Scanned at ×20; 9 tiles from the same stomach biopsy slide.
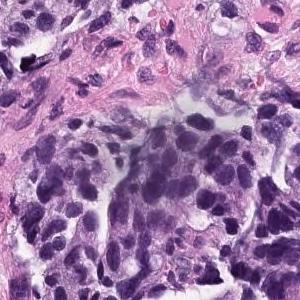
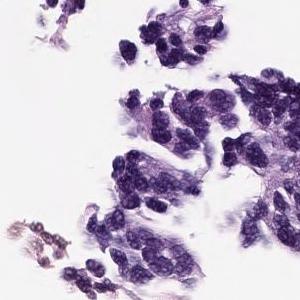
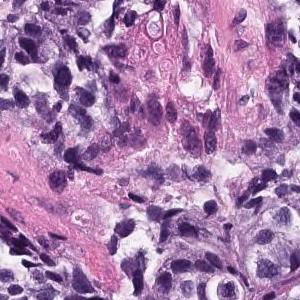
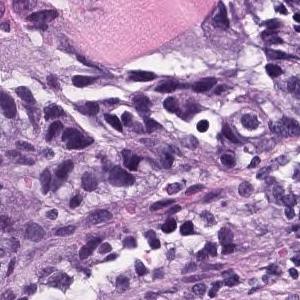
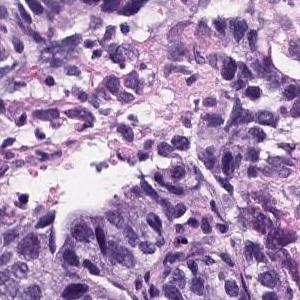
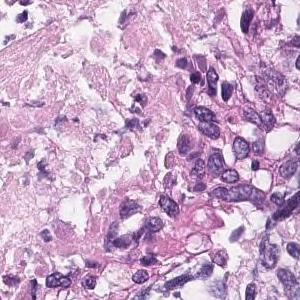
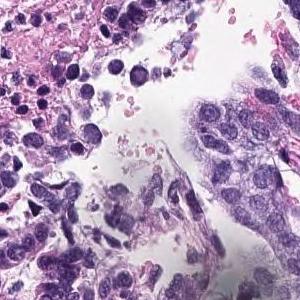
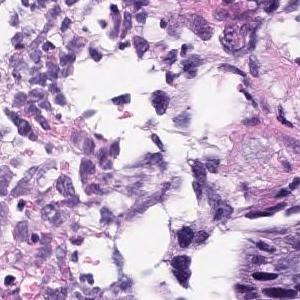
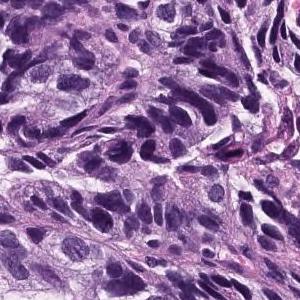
Pathology report for the slide these tiles were cut from. What the report and the diagnosis say applies to the whole slide; these tiles may miss some of the features named and may include tissue that is not tumor.
The superficial epithelium shows a large sheet-like shape, and some tumor tissue infiltrates with small irregular ducts. Poorly differentiated adenocarcinoma, solid-type
Histologic type: Poorly differentiated adenocarcinoma, solid type (Japanese Classification of Gastric Carcinoma). The WHO 2019 equivalent is tubular adenocarcinoma, poorly differentiated.
